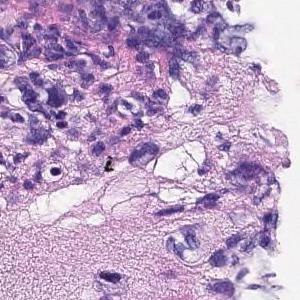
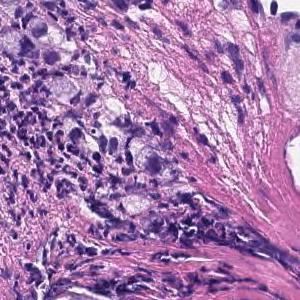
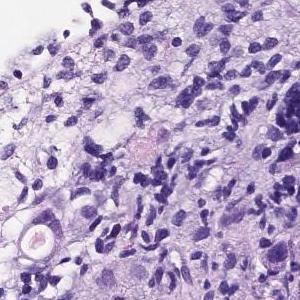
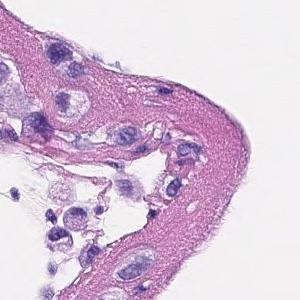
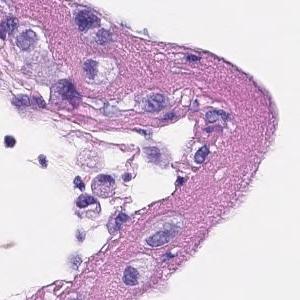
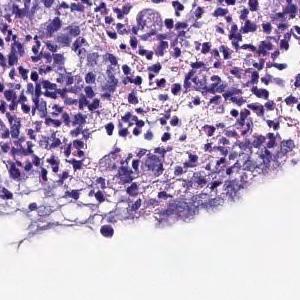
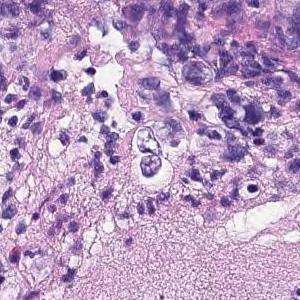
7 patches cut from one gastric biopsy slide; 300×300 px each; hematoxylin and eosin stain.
Diagnostic report for the slide these tiles come from. The report and the diagnosis describe the slide as a whole, so these tiles may not show every feature named and may include non-tumor tissue.
A large atypical epithelium lacking ductal construction with swelling of the nucleus is seen to proliferate solidly. Poorly differentiated adenocarcinoma.
Subtype: Poorly differentiated adenocarcinoma, non-solid type.
"Non-solid type" is a category of the Japanese Classification of Gastric Carcinoma.
